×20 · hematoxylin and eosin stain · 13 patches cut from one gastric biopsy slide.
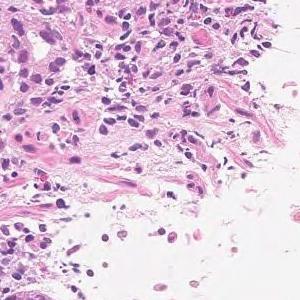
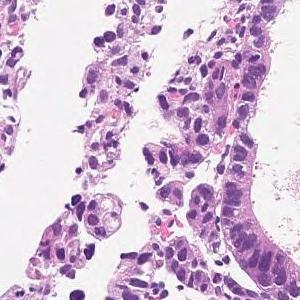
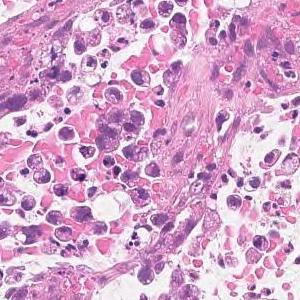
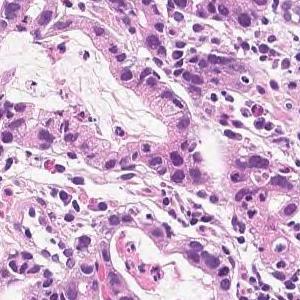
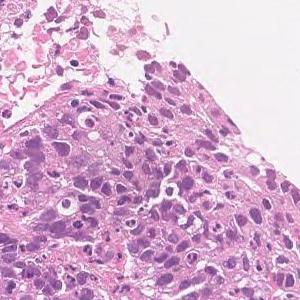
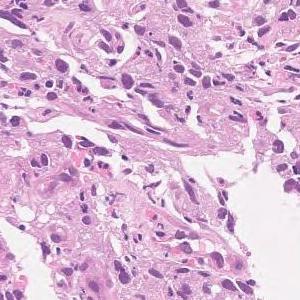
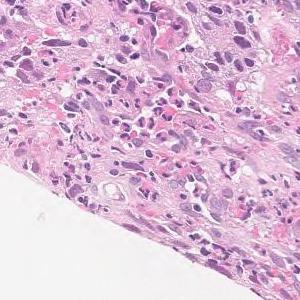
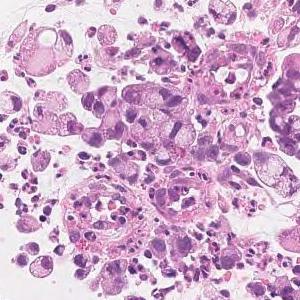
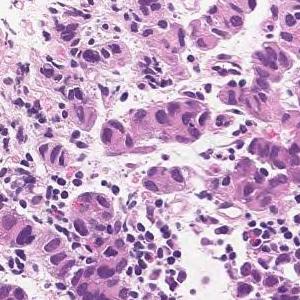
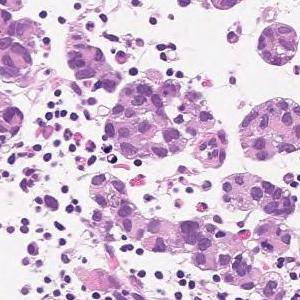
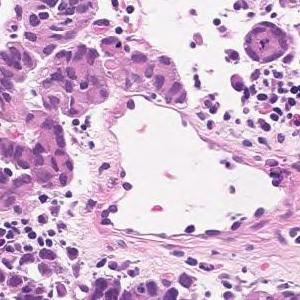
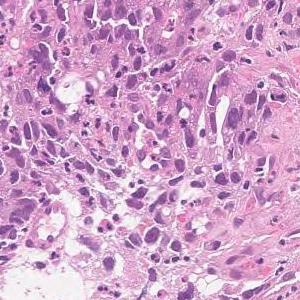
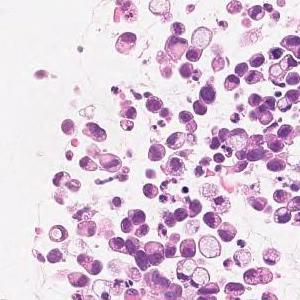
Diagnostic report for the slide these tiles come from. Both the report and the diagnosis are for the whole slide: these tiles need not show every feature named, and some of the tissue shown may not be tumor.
Medium to small, irregular glandular ducts are formed in the superficial epithelium, and in some cases, the glandular ducts are fused to show solid alveolar lesions and infiltrating tumor tissue is observed. Moderately to poorly differentiated adenocarcinoma.
